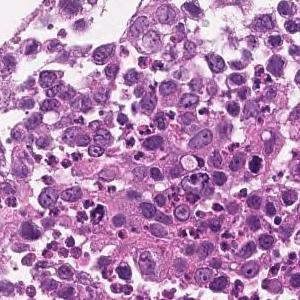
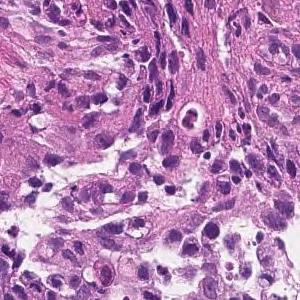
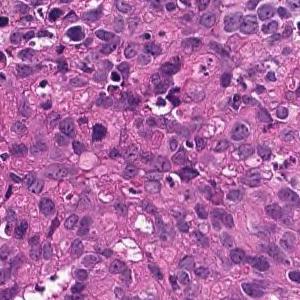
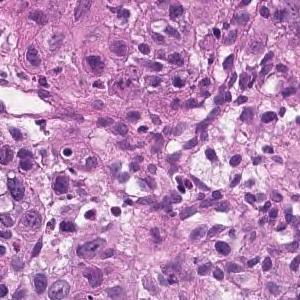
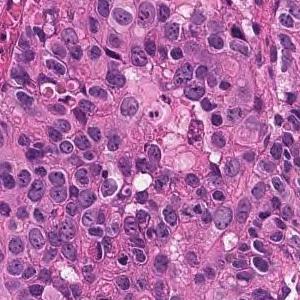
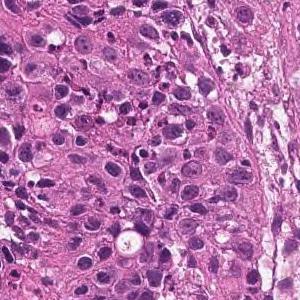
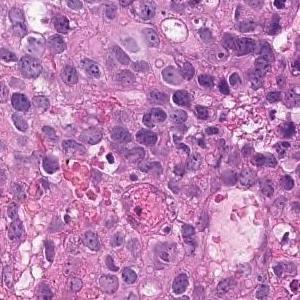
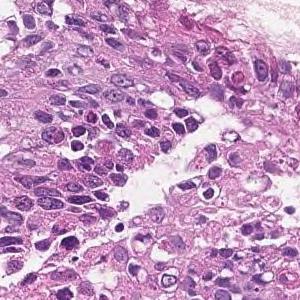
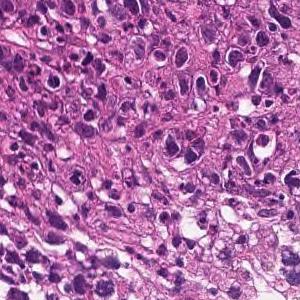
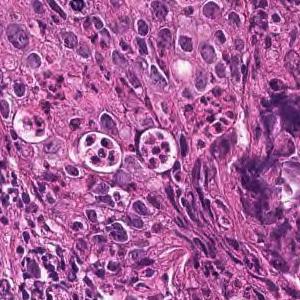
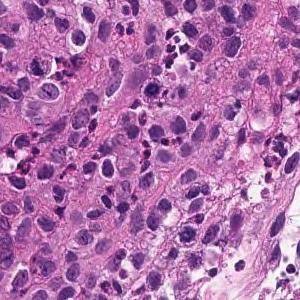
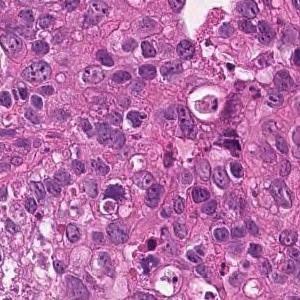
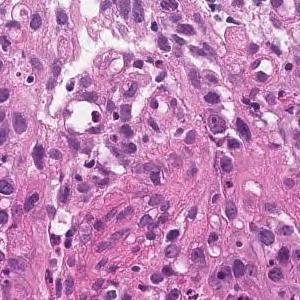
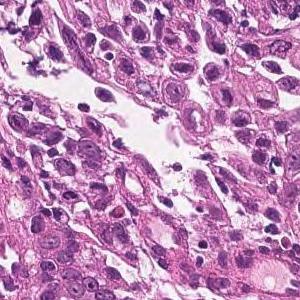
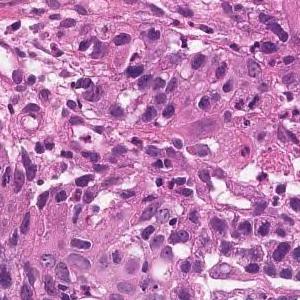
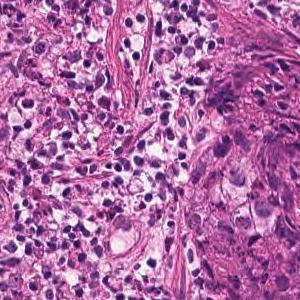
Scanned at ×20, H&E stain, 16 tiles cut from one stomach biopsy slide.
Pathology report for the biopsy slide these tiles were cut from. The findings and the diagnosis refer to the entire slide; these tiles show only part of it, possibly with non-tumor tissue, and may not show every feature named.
The superficial epithelium shows a large sheet-like shape, and some tumor tissue infiltrates with small irregular ducts. Poorly differentiated adenocarcinoma, solid-type
Histological subtype: Poorly differentiated adenocarcinoma, solid type (Japanese Classification of Gastric Carcinoma). The WHO 2019 equivalent is tubular adenocarcinoma, poorly differentiated.
